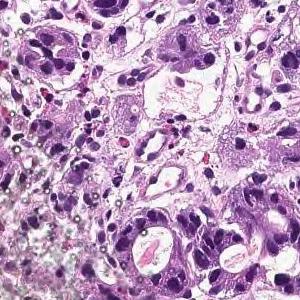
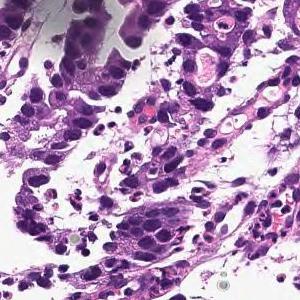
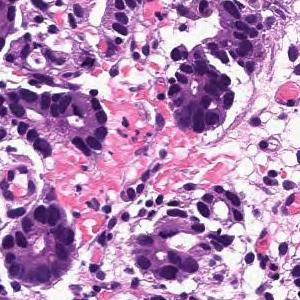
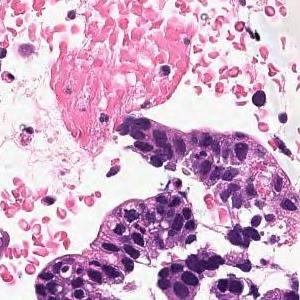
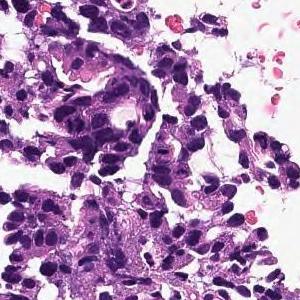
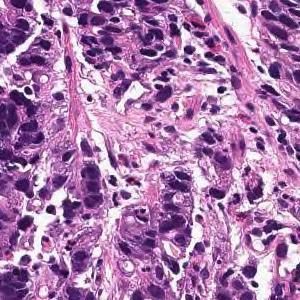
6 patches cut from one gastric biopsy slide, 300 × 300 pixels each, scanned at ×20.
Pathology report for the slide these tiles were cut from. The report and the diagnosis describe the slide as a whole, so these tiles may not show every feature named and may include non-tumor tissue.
In the superficial epithelium, tumor tissue that invades by forming medium-sized to small, irregular ducts is observed. moderately differentiated tubular adenocarcinoma.
